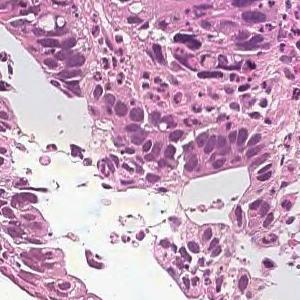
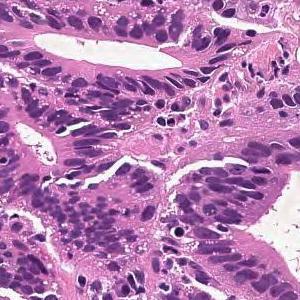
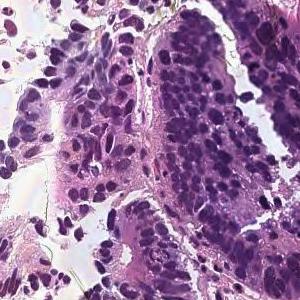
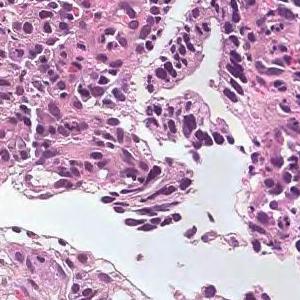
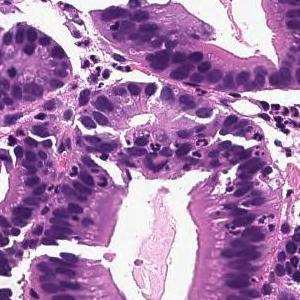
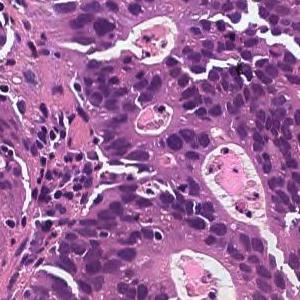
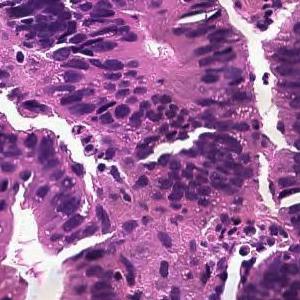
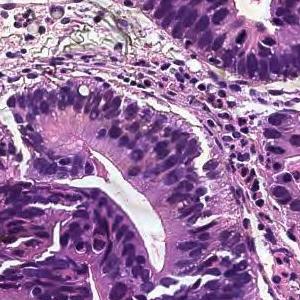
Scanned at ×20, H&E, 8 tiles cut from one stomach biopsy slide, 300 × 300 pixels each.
Report on the slide these tiles come from. Both the report and the diagnosis are for the whole slide: these tiles need not show every feature named, and some of the tissue shown may not be tumor.
On the superficial epithelium, tumor tissue consisting of large irregular glandular ducts partially fused and infiltrated is observed. Well to moderately differentiated tubular adenocarcinoma (well differentiated tubular adenocarcinoma, moderately differentiated tubular adenocarcinoma)
Histological subtype: Well to moderately differentiated tubular adenocarcinoma.
